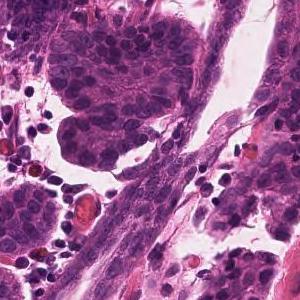
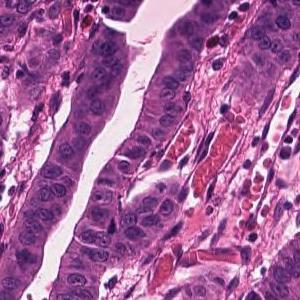
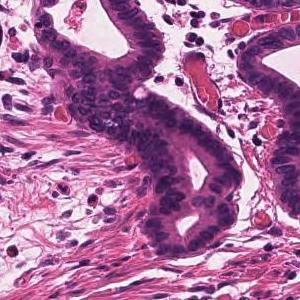
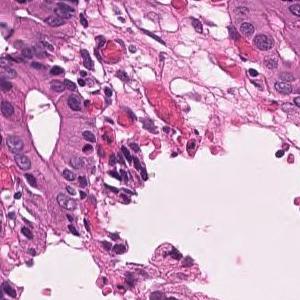
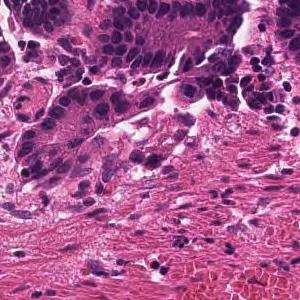
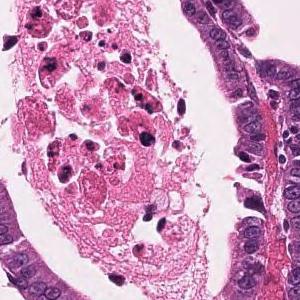
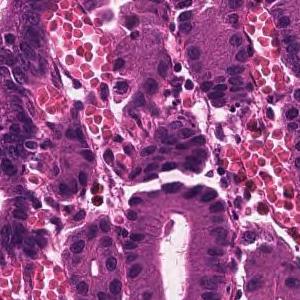
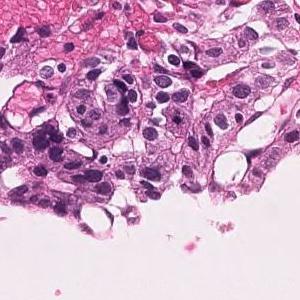
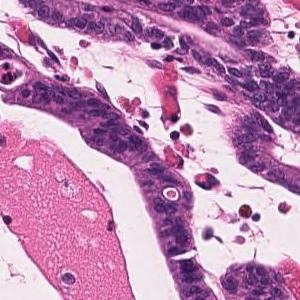
H&E stain, 9 tiles cut from one stomach biopsy slide.
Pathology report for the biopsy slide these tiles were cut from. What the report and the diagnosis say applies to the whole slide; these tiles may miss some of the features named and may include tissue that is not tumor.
Infiltrating tumor tissue with medium-sized, irregular ductal structure or large papillary appearance is observed. Well differentiated tubular adenocarcinoma
